16 patches cut from one gastric biopsy slide, 300 × 300 pixels each, scanned at ×20, hematoxylin and eosin stain.
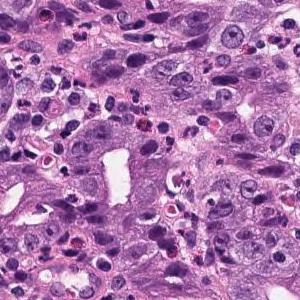
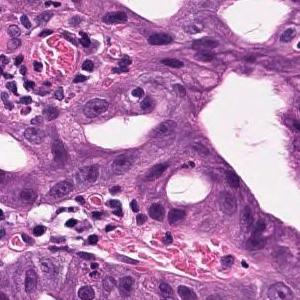
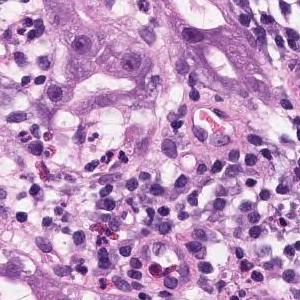
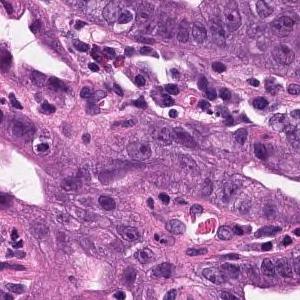
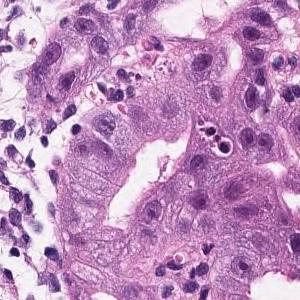
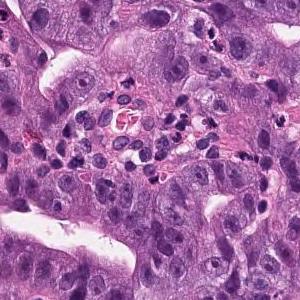
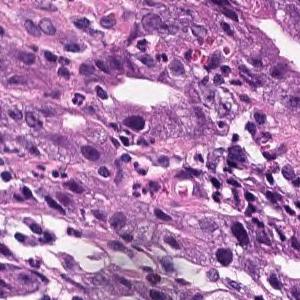
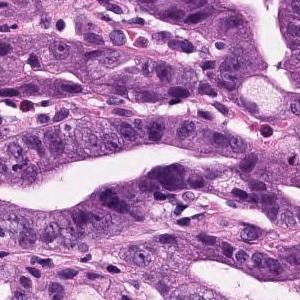
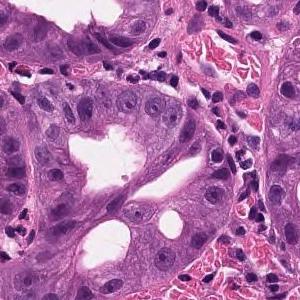
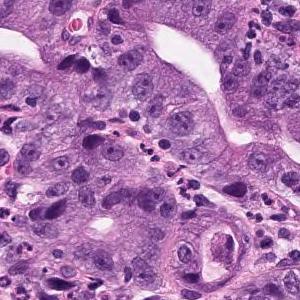
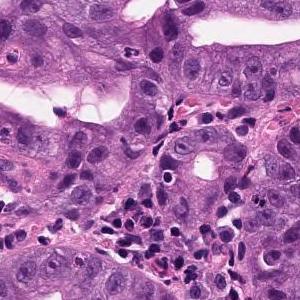
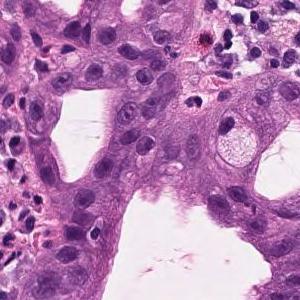
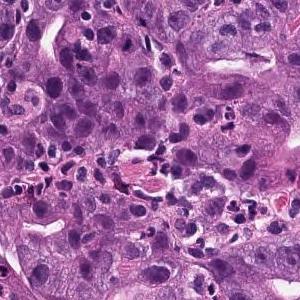
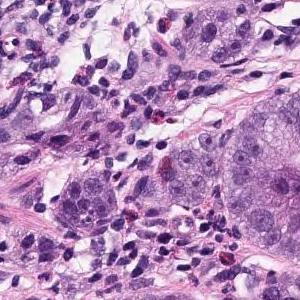
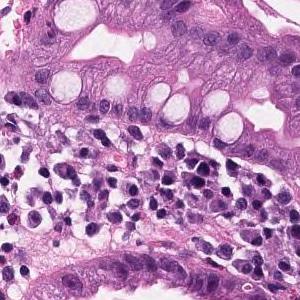
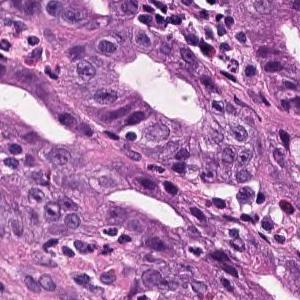
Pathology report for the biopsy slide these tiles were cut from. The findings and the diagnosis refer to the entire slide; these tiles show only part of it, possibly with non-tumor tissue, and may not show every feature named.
In the superficial epithelium, tumor tissue that invades by forming medium-sized to small, irregular ducts is observed. Well to moderately differentiated adenocarcinoma (well differentiated tubular adenocarcinoma, moderately differentiated tubular adenocarcinoma).
Histologic type: Well to moderately differentiated tubular adenocarcinoma.
